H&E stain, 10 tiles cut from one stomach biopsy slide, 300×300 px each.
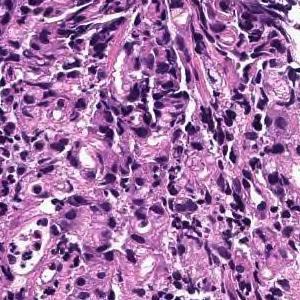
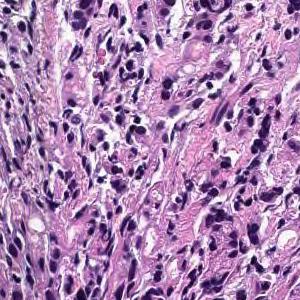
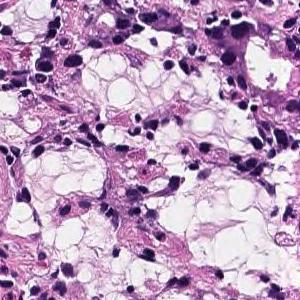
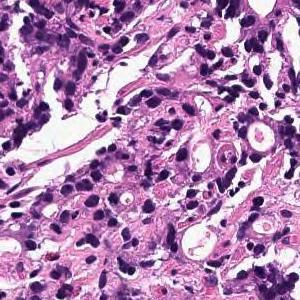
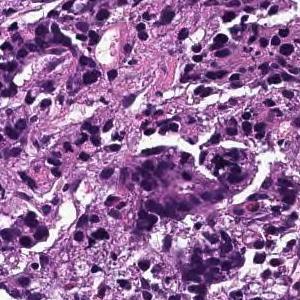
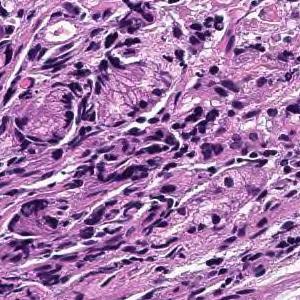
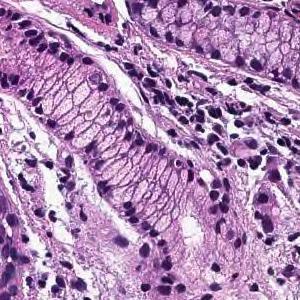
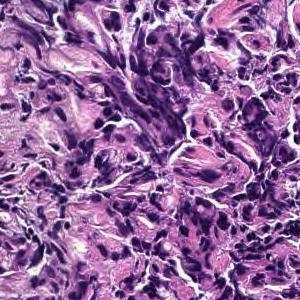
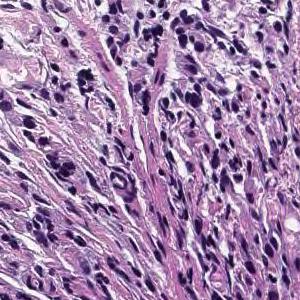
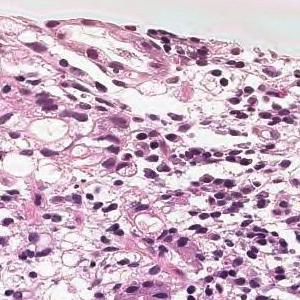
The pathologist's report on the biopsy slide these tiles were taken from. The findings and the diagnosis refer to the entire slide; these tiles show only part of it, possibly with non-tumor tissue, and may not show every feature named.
Tumor tissue consisting of cord-like or small, irregular glandular ducts fused and infiltrated is observed in the superficial epithelium. Poorly differentiated adenocarcinoma, non-solid type
"Non-solid type" is a category of the Japanese Classification of Gastric Carcinoma.
